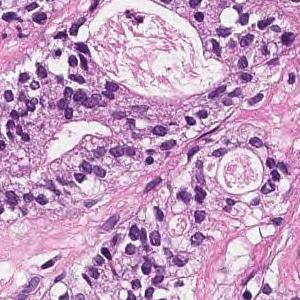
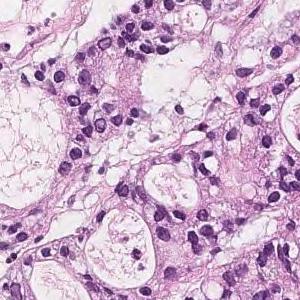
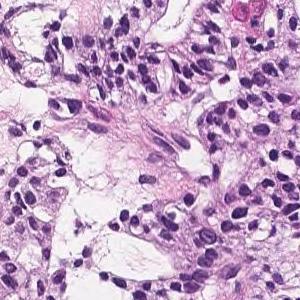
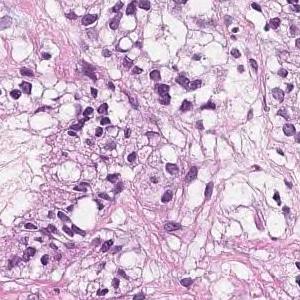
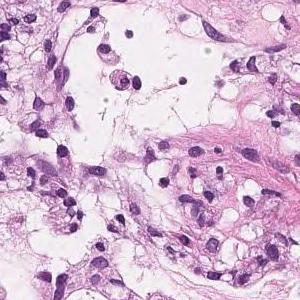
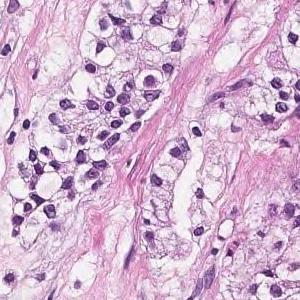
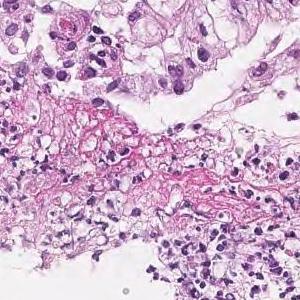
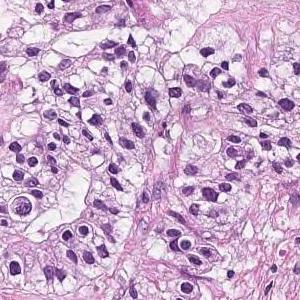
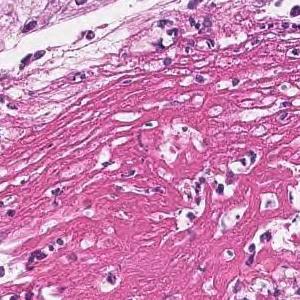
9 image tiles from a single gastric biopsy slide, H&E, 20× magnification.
Pathology report for the slide these tiles were cut from. The report and the diagnosis describe the slide as a whole, so these tiles may not show every feature named and may include non-tumor tissue.
In the superficial epithelium, tumor tissue that invades by forming medium-sized to small, irregular ducts is observed. moderately differentiated tubular adenocarcinoma.
